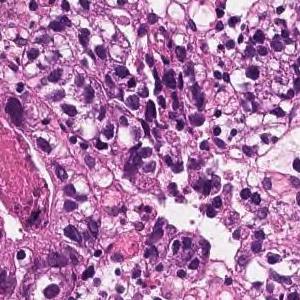
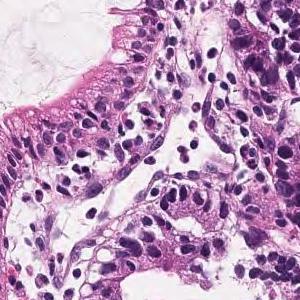
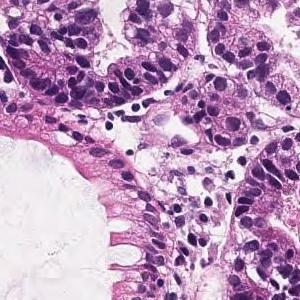
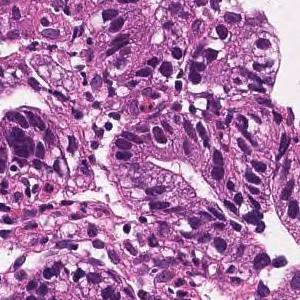
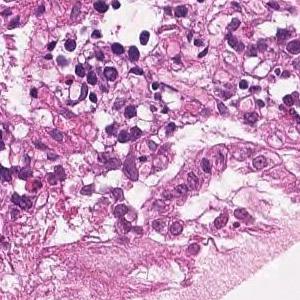
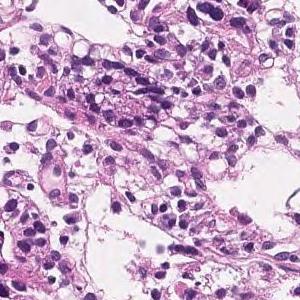
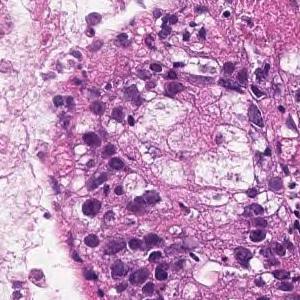
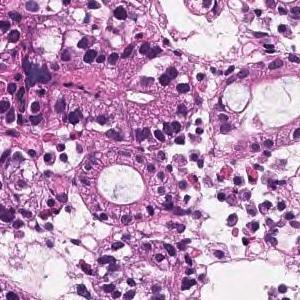
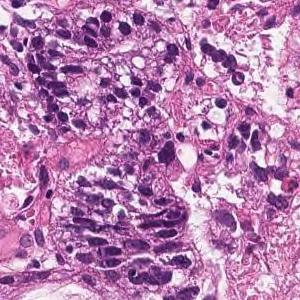
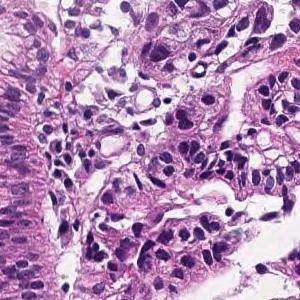
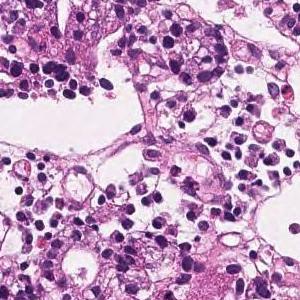
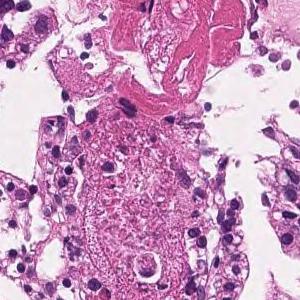
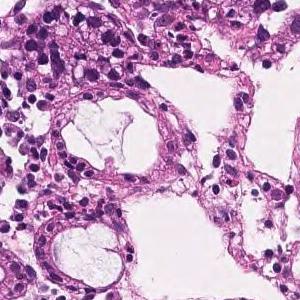
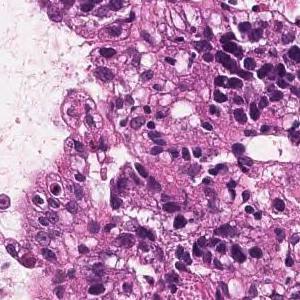
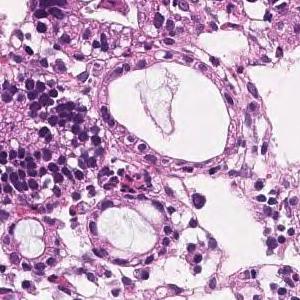
15 tiles from the same stomach biopsy slide · H&E.
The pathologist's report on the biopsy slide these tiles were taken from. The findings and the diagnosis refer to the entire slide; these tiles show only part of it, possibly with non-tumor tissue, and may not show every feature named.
In the superficial epithelium, tumor tissue that invades by forming medium-sized to small, irregular ducts is observed. moderately differentiated tubular adenocarcinoma.
